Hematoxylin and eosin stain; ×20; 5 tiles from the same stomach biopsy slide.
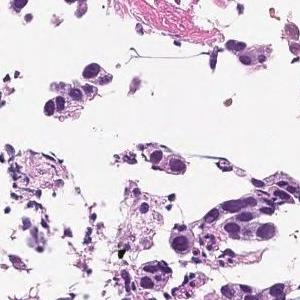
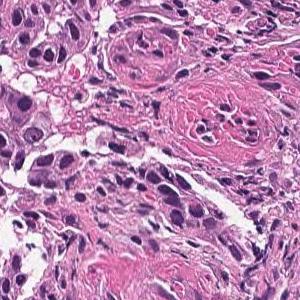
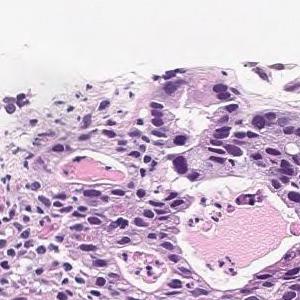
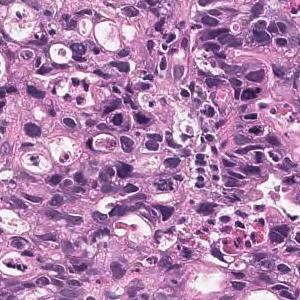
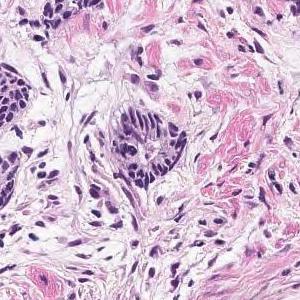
Pathology report for the biopsy slide these tiles were cut from. The report and the diagnosis describe the slide as a whole, so these tiles may not show every feature named and may include non-tumor tissue.
Tumor cells are large, highly columnar, large club-shaped nuclei, and are associated with chromatin aggregation. Papillary adenocarcinoma.
